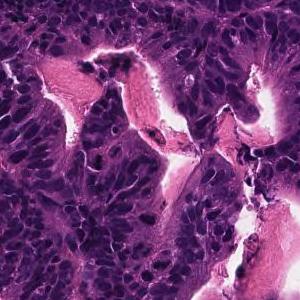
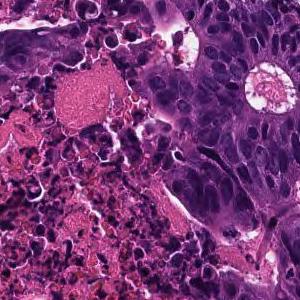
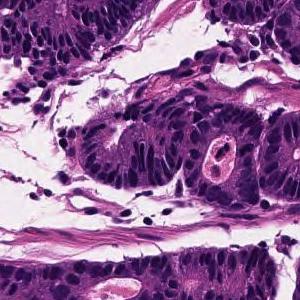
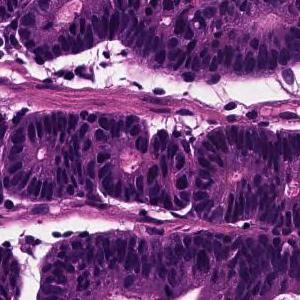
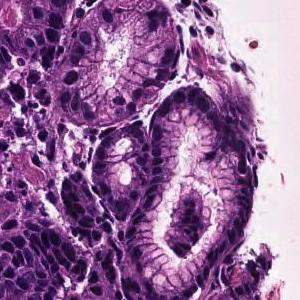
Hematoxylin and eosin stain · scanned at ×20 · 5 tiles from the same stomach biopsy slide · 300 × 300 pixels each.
Pathology report for the slide these tiles were cut from. The report describes the whole slide, diagnosis included: not every finding it names need appear in these tiles, which may also show non-tumor tissue.
In the superficial epithelium, tumor tissue that invades by forming medium-sized to small, irregular ducts is observed. moderately differentiated tubular adenocarcinoma.
